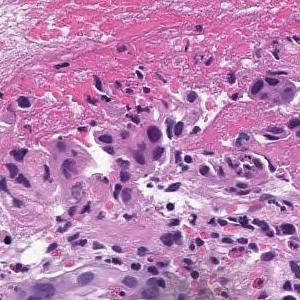
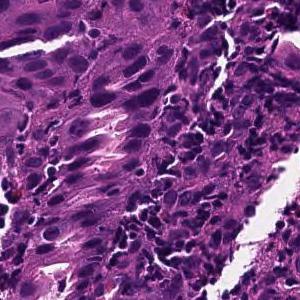
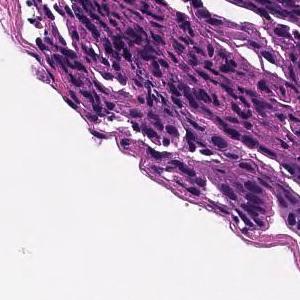
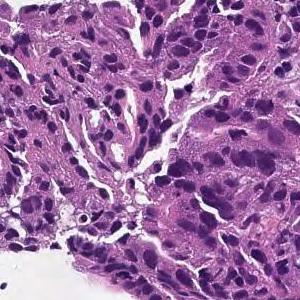
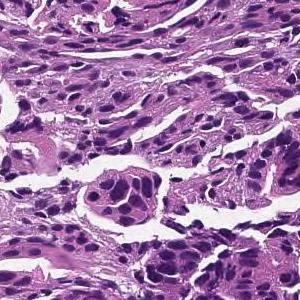
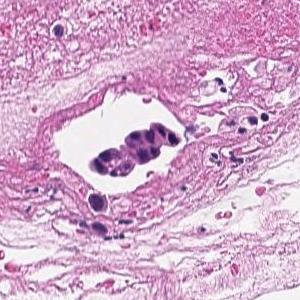
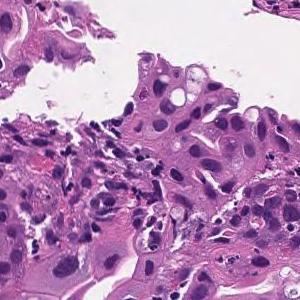
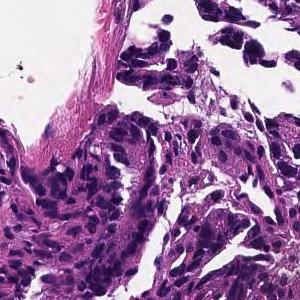
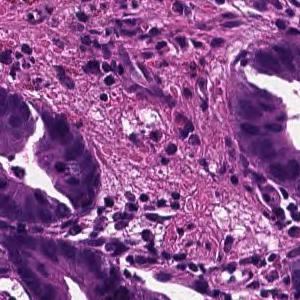
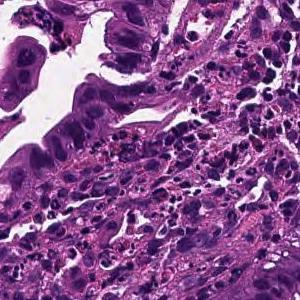
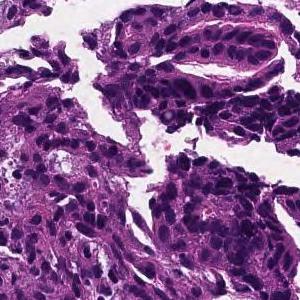
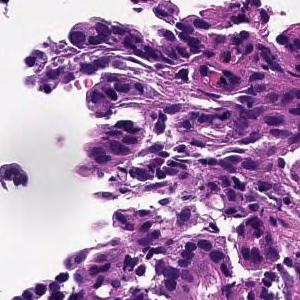
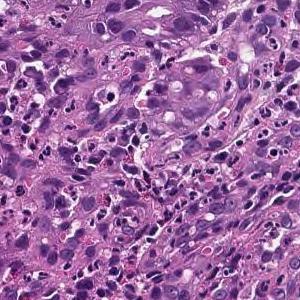
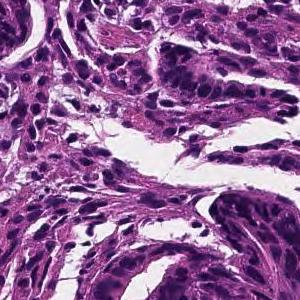
Scanned at ×20, hematoxylin and eosin stain, 14 tiles cut from one stomach biopsy slide, 300×300 px each.
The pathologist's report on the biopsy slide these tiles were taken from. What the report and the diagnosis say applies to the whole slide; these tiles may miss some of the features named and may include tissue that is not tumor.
In the superficial epithelium, tumor tissue that invades by forming medium-sized to small, irregular ducts is observed. moderately differentiated tubular adenocarcinoma.
